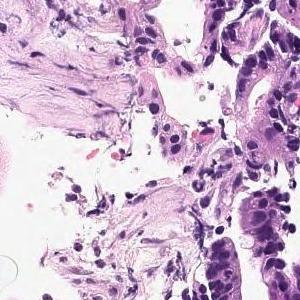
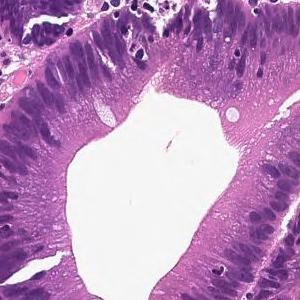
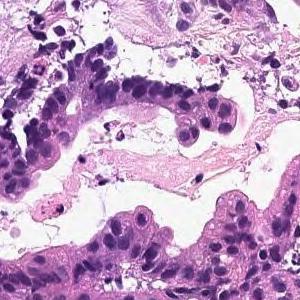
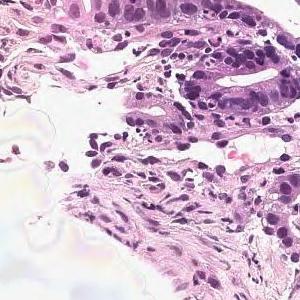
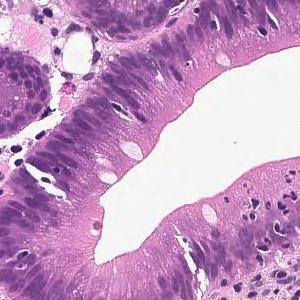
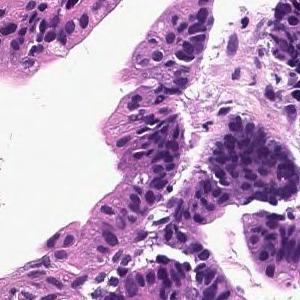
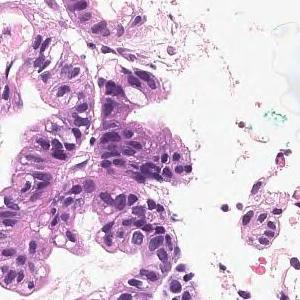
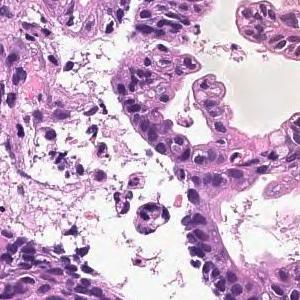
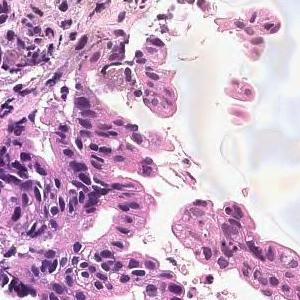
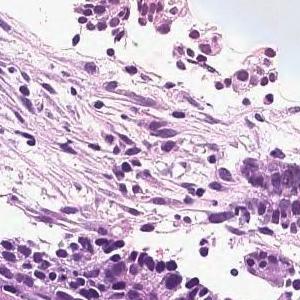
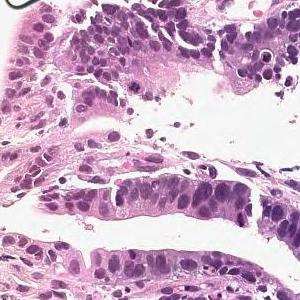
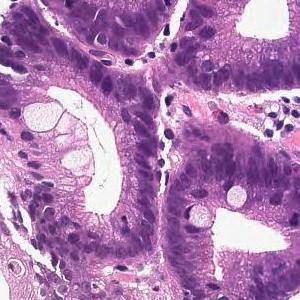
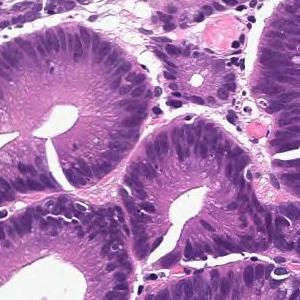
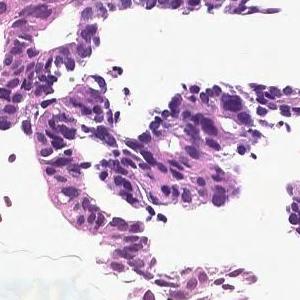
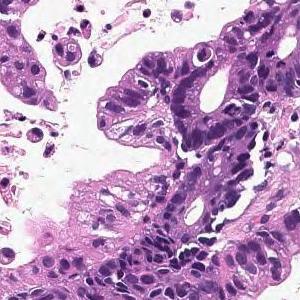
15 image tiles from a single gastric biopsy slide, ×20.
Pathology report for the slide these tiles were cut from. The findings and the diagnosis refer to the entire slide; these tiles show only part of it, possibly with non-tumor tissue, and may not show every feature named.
In the superficial epithelium, tumor tissue that invades by forming medium-sized to small, irregular ducts is observed. moderately differentiated tubular adenocarcinoma.
